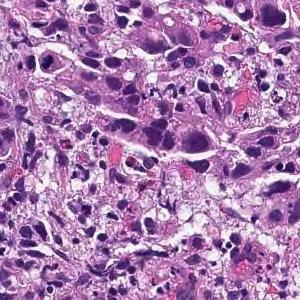
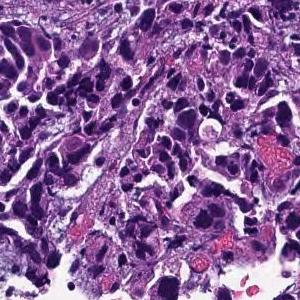
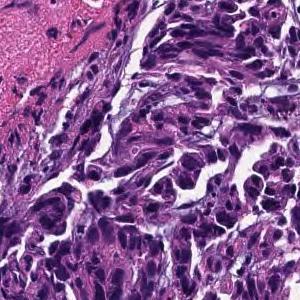
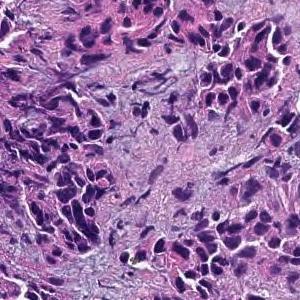
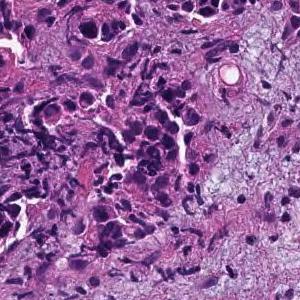
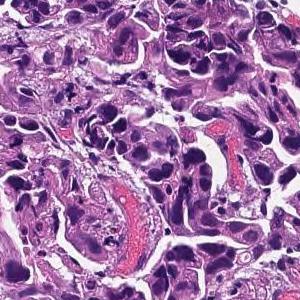
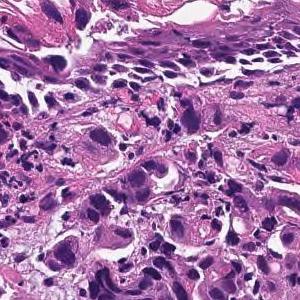
7 tiles cut from one stomach biopsy slide, H&E.
Pathology report for the biopsy slide these tiles were cut from. The report and the diagnosis cover the entire slide, so not every feature they name need be visible here, and some tissue shown may not be tumor.
Tumor tissue consisting of cord-like or small, irregular glandular ducts fused and infiltrated is observed in the superficial epithelium. Poorly differentiated adenocarcinoma, non-solid type
"Non-solid type" is a category of the Japanese Classification of Gastric Carcinoma.
